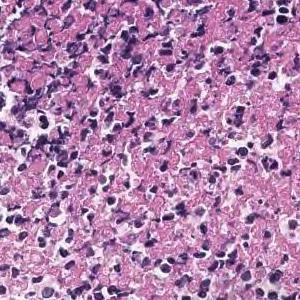
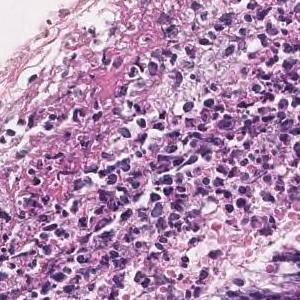
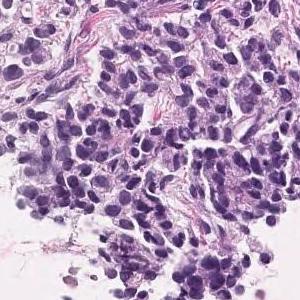
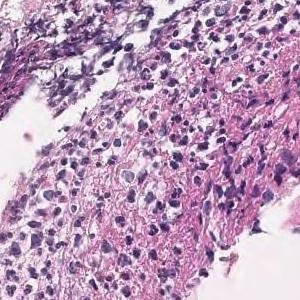
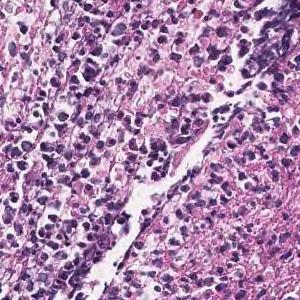
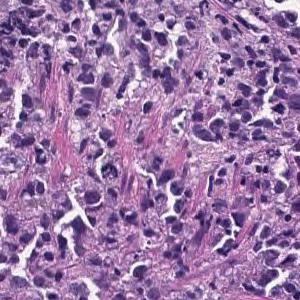
H&E stain, 6 image tiles from a single gastric biopsy slide, 300 × 300 pixels each.
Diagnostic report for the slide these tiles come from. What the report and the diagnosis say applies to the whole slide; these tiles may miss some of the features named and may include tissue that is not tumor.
The superficial epithelium shows a large sheet-like shape, and some tumor tissue infiltrates with small irregular ducts. Poorly differentiated adenocarcinoma, solid-type
Histological subtype: Poorly differentiated adenocarcinoma, solid type (Japanese Classification of Gastric Carcinoma). The WHO 2019 equivalent is tubular adenocarcinoma, poorly differentiated.
